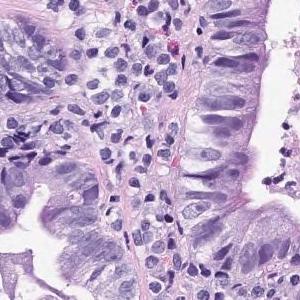
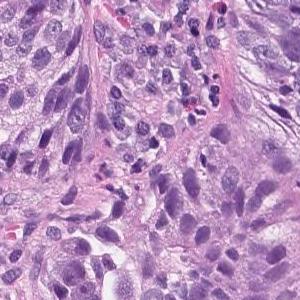
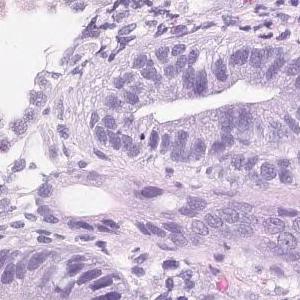
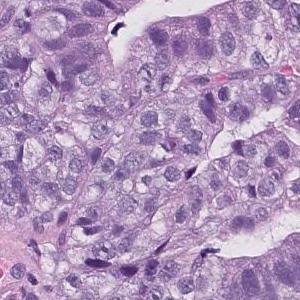
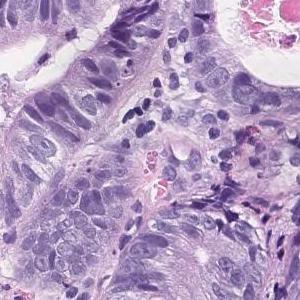
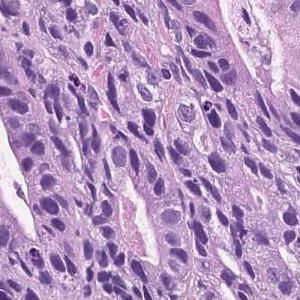
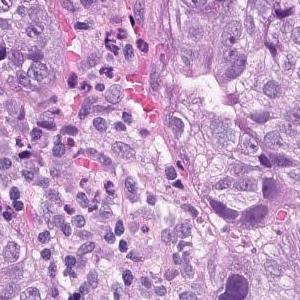
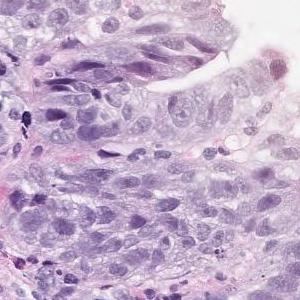
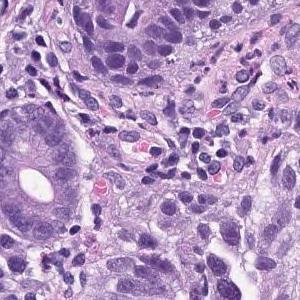
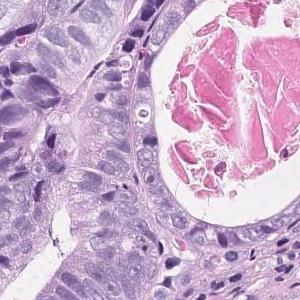
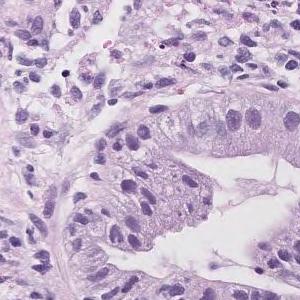
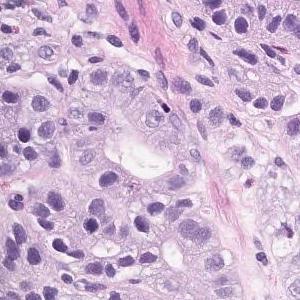
H&E stain, 12 image tiles from a single gastric biopsy slide, 300 × 300 pixels each.
Pathology report for the biopsy slide these tiles were cut from. The findings and the diagnosis refer to the entire slide; these tiles show only part of it, possibly with non-tumor tissue, and may not show every feature named.
On the superficial epithelium, tumor tissue consisting of medium to small irregular tubules partially fused and proliferated is observed. moderately differentiated tubular adenocarcinoma
